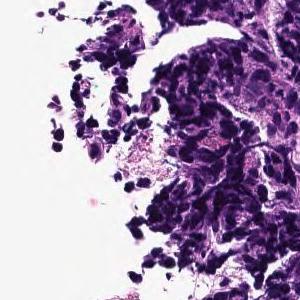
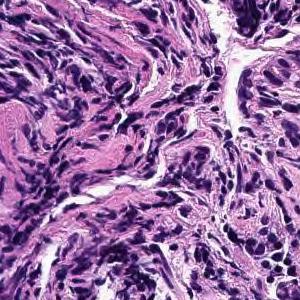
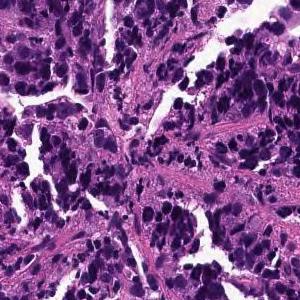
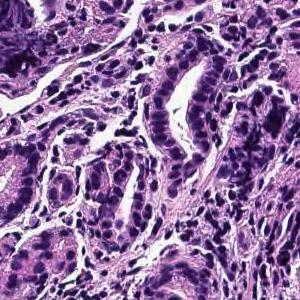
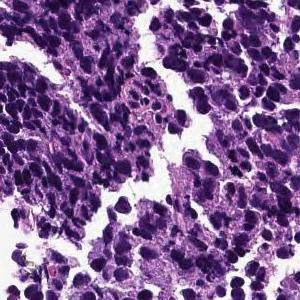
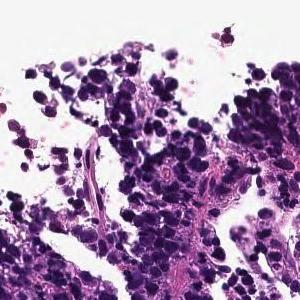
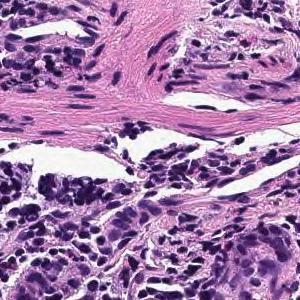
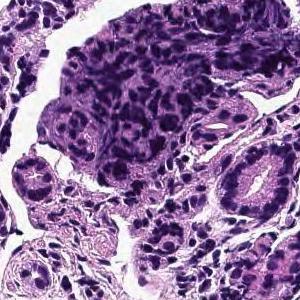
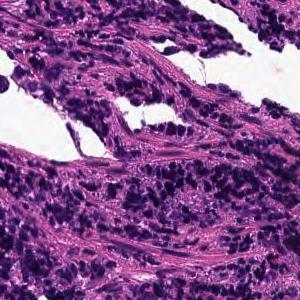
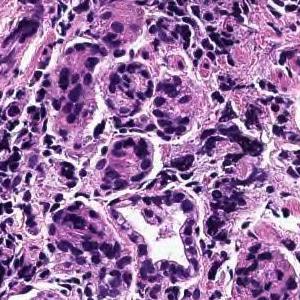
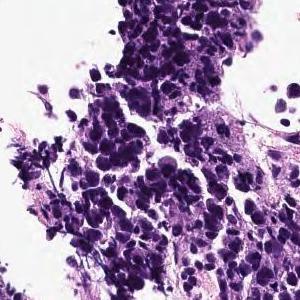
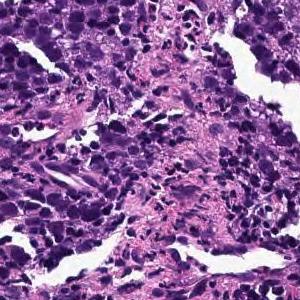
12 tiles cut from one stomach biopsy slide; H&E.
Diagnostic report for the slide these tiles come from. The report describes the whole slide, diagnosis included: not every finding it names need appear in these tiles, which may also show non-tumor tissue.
The superficial epithelium shows large alveolar or sheet-like forms, and some tumor tissue infiltrates with small irregular ducts. Poorly differentiated adenocarcinoma, solid-type
Subtype: Poorly differentiated adenocarcinoma, solid type, a category of the Japanese Classification of Gastric Carcinoma; in the WHO 2019 classification it is tubular adenocarcinoma, poorly differentiated.
